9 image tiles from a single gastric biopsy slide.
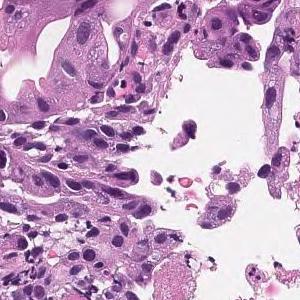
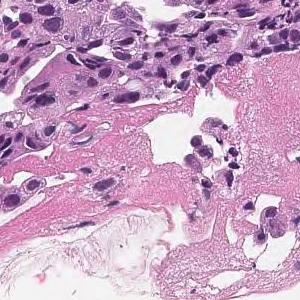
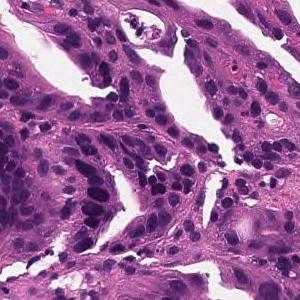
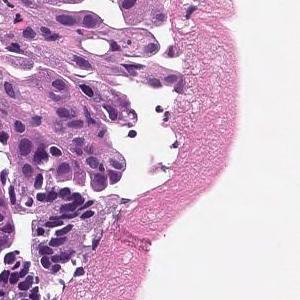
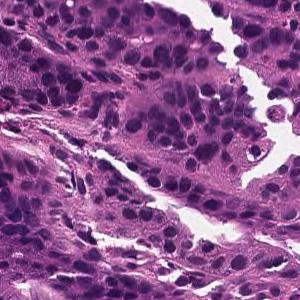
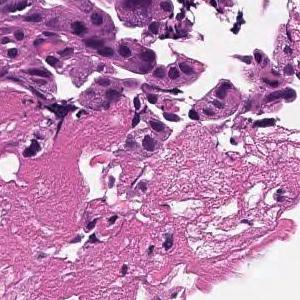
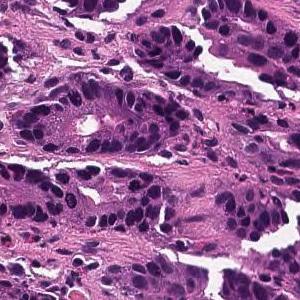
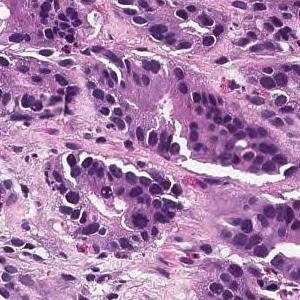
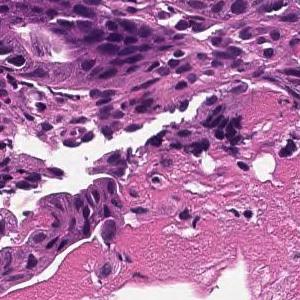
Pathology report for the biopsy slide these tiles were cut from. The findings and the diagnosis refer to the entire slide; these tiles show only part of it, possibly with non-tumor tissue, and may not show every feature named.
From the superficial epithelium to the muscularis mucosae, tumor tissue consisting of medium-sized and irregular glandular ducts infiltrating is observed. Well differentiated tubular adenocarcinoma
